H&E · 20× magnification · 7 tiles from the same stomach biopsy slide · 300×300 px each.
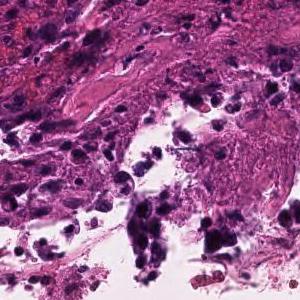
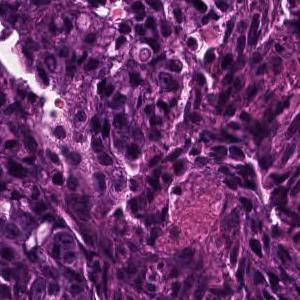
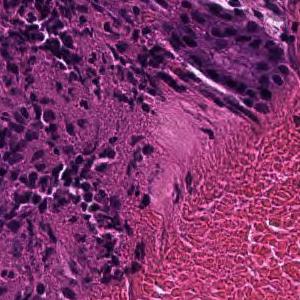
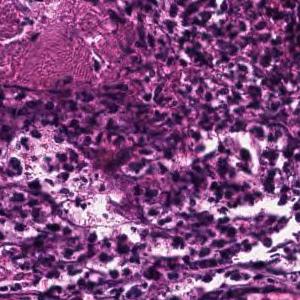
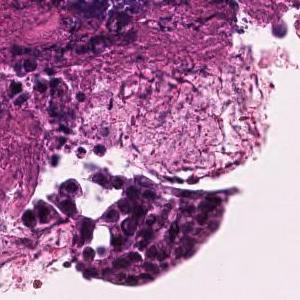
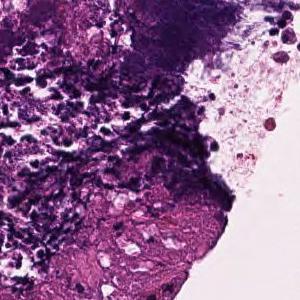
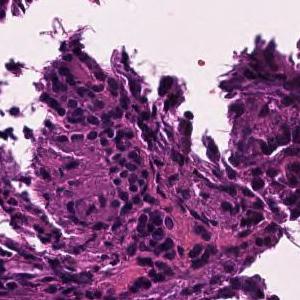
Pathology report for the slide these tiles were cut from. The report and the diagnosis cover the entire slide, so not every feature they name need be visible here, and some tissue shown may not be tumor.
Tumor tissue consisting of medium-sized, cord-like or irregular glandular infiltration is observed in the superficial epithelium. Poorly differentiated adenocarcinoma, non-solid type or moderately differentiated tubular adenocarcinoma
Histologic type: Moderately to poorly differentiated adenocarcinoma.
The term "non-solid type" comes from the Japanese Classification of Gastric Carcinoma.
